14 tiles cut from one stomach biopsy slide; each 300 × 300 pixels; ×20; H&E.
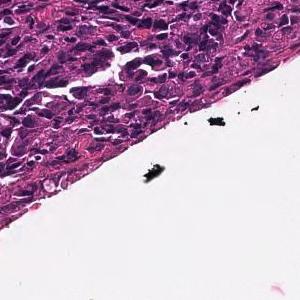
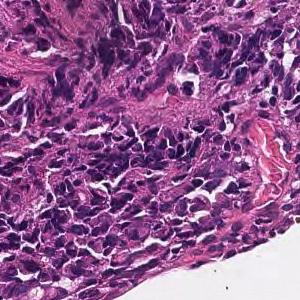
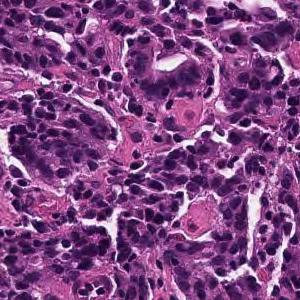
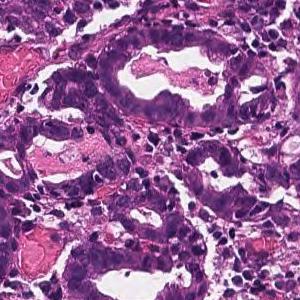
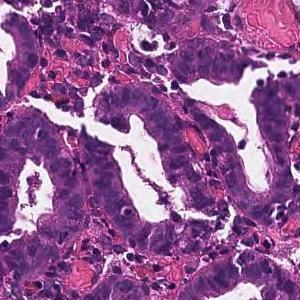
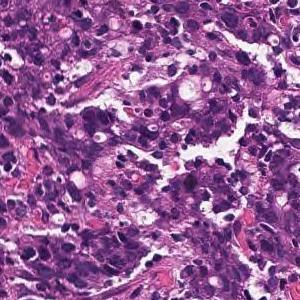
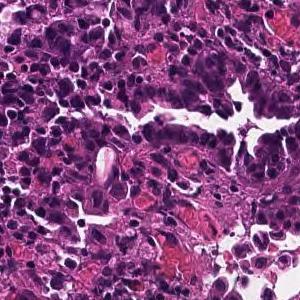
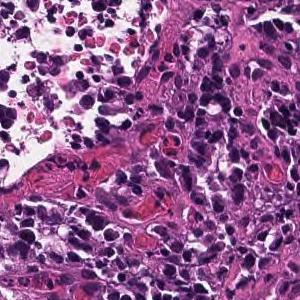
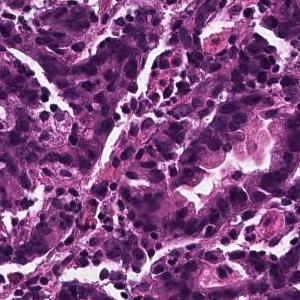
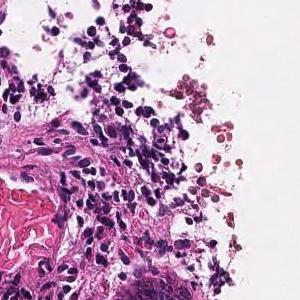
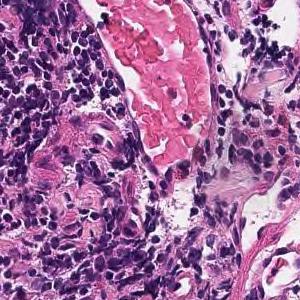
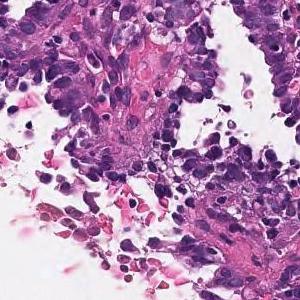
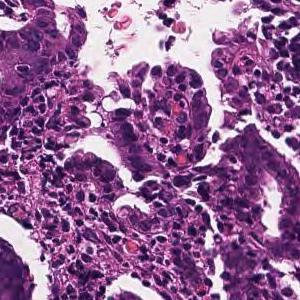
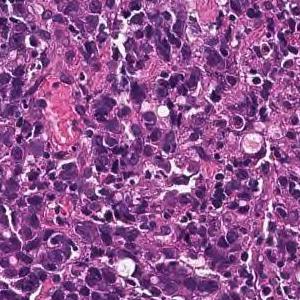
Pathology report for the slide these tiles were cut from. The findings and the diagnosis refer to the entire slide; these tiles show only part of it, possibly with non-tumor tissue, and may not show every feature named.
In the superficial epithelium, tumor tissue that invades by forming medium-sized to small, irregular ducts is observed. moderately differentiated tubular adenocarcinoma.
